11 tiles cut from one stomach biopsy slide · 300×300 px each · hematoxylin and eosin stain.
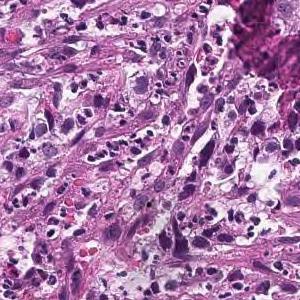
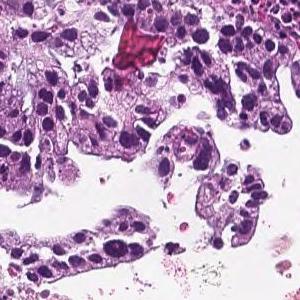
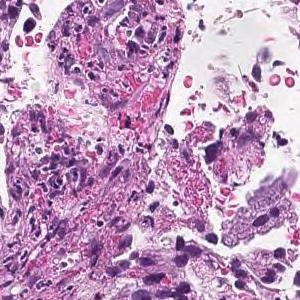
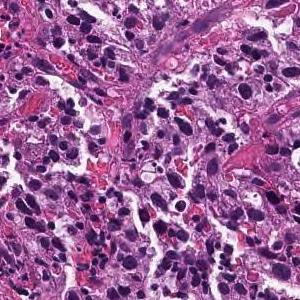
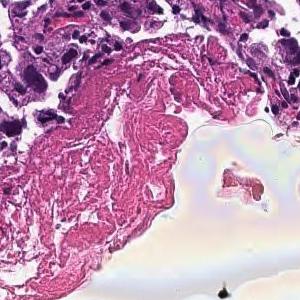
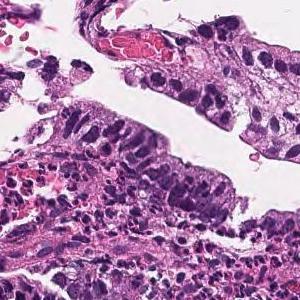
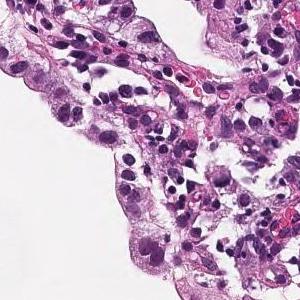
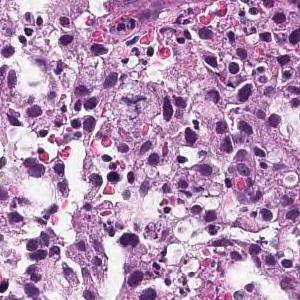
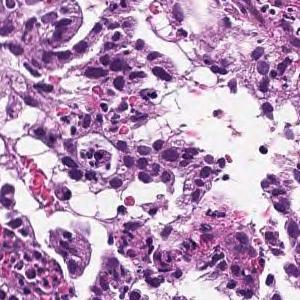
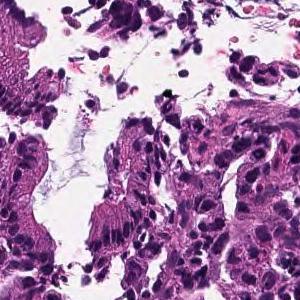
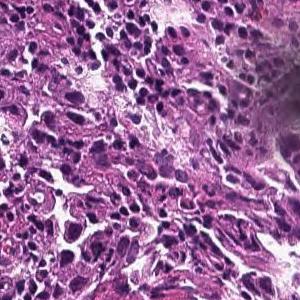
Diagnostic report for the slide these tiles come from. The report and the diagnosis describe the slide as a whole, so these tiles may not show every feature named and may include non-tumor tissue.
Tumor tissue consisting of medium-sized, cord-like or irregular glandular infiltration is observed in the superficial epithelium. Poorly differentiated adenocarcinoma, non-solid type or moderately differentiated tubular adenocarcinoma
Histological subtype: Moderately to poorly differentiated adenocarcinoma.
The term "non-solid type" comes from the Japanese Classification of Gastric Carcinoma.
